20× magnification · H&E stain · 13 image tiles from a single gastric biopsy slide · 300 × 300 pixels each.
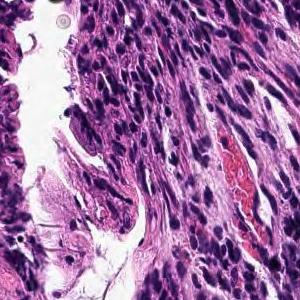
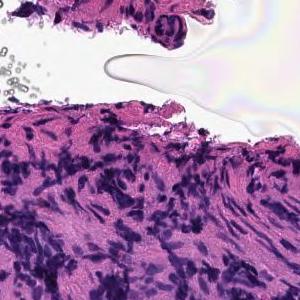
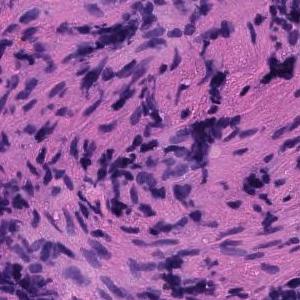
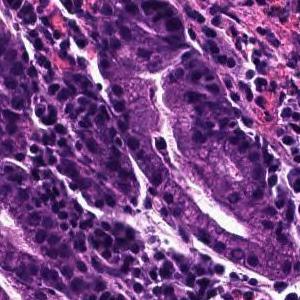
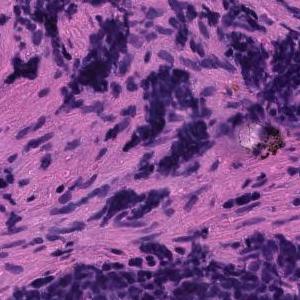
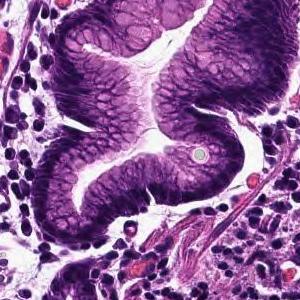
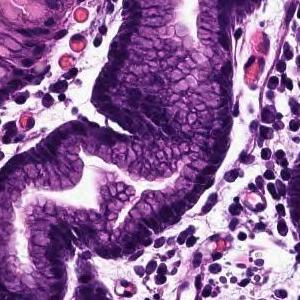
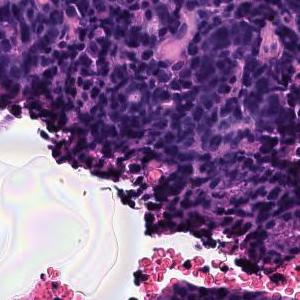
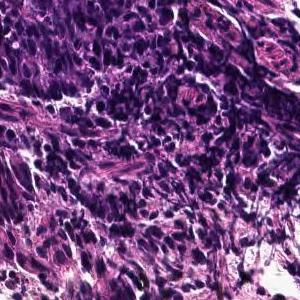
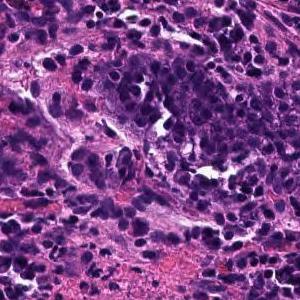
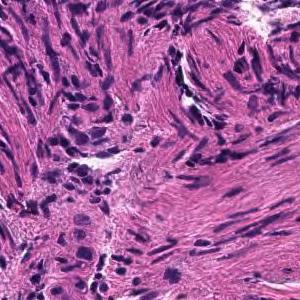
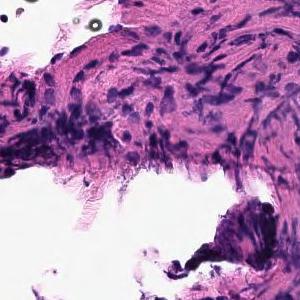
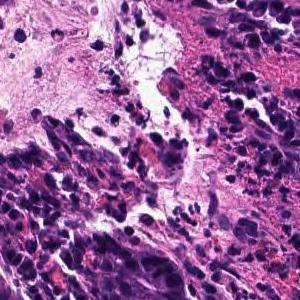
Report on the slide these tiles come from. The report and the diagnosis cover the entire slide, so not every feature they name need be visible here, and some tissue shown may not be tumor.
The superficial epithelium shows a large sheet-like shape, and some tumor tissue infiltrates with small irregular ducts. Poorly differentiated adenocarcinoma, solid-type
Histologic type: Poorly differentiated adenocarcinoma, solid type (Japanese Classification of Gastric Carcinoma). The WHO 2019 equivalent is tubular adenocarcinoma, poorly differentiated.
